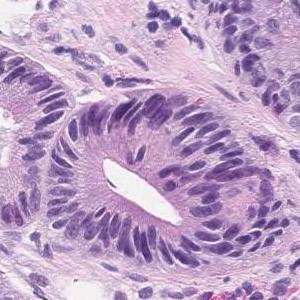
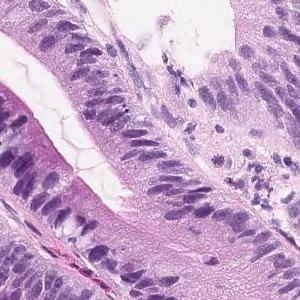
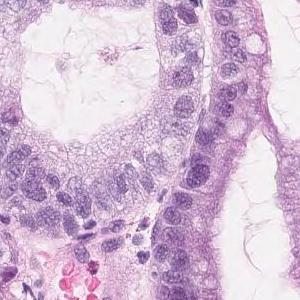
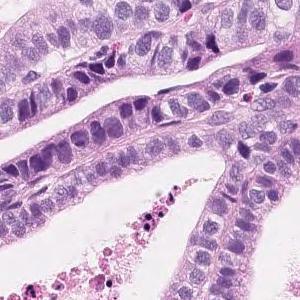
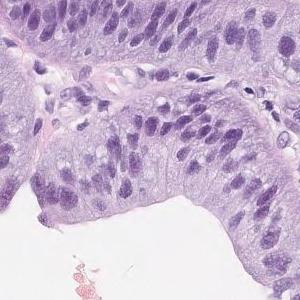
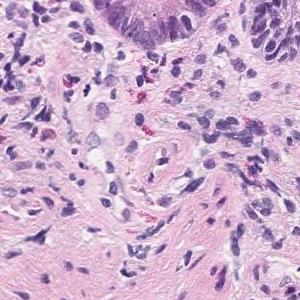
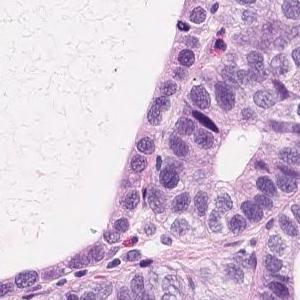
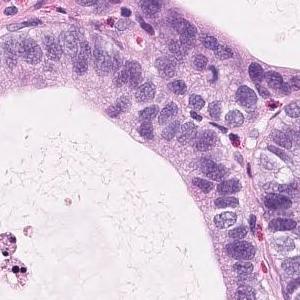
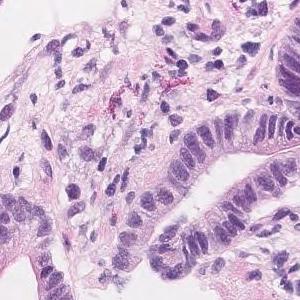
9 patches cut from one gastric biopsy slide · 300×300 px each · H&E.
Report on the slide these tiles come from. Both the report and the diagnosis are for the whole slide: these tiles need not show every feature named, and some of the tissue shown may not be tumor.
Short atypical epithelium with swelling of the nucleus shows proliferating, large and small irregular ductal structures. Well to moderately differentiated tubular adenocarcinoma (well differentiated tubular adenocarcinoma-moderately differentiated tubular adenocarcinoma)
Histologic type: Well to moderately differentiated tubular adenocarcinoma.
